H&E stain · 12 patches cut from one gastric biopsy slide.
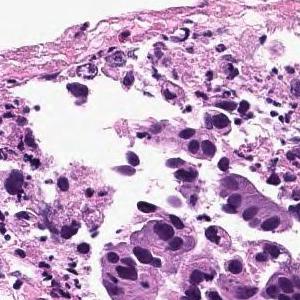
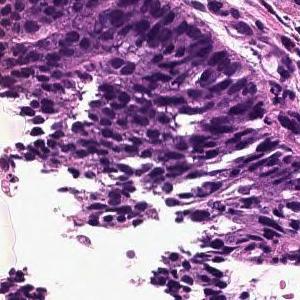
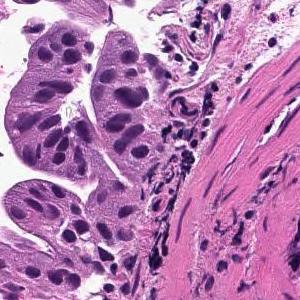
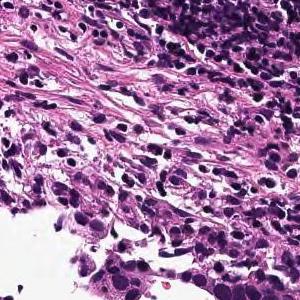
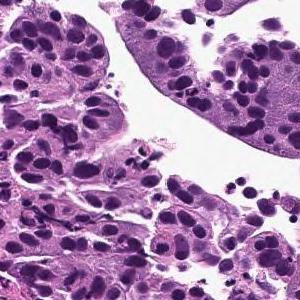
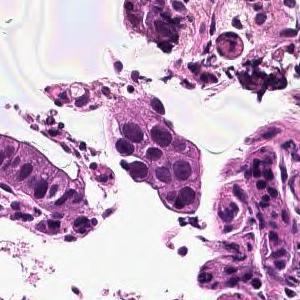
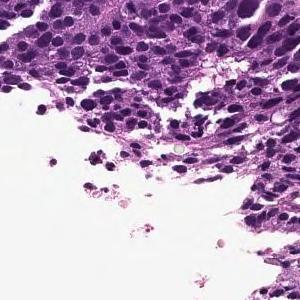
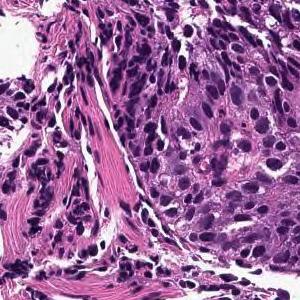
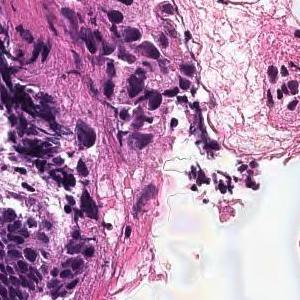
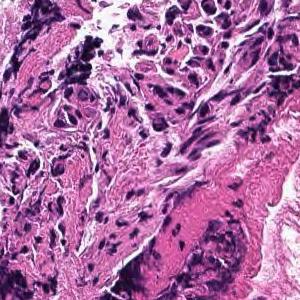
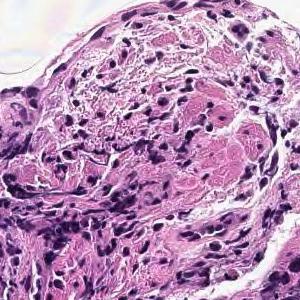
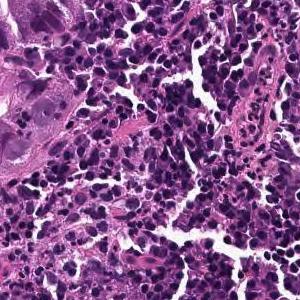
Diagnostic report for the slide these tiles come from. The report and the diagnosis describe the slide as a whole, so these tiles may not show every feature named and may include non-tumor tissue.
On the superficial epithelium, tumor tissue that infiltrates by forming medium-sized papillary or small irregular ducts is observed. Papillary adenocarcinoma
